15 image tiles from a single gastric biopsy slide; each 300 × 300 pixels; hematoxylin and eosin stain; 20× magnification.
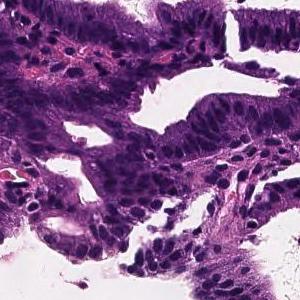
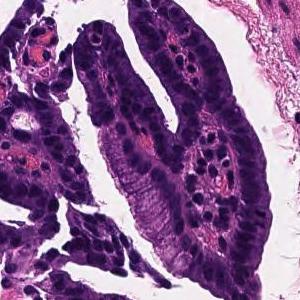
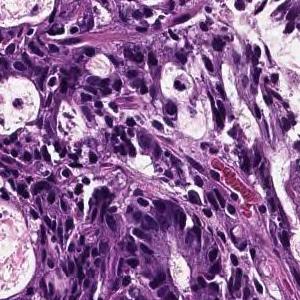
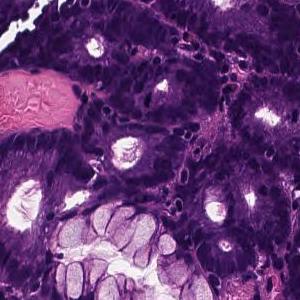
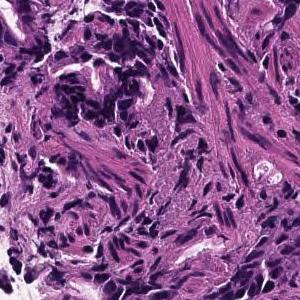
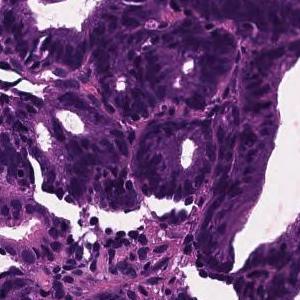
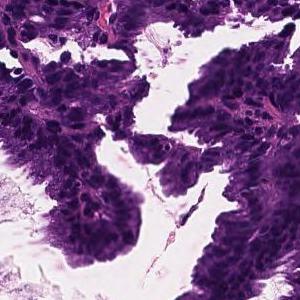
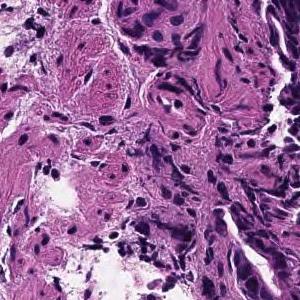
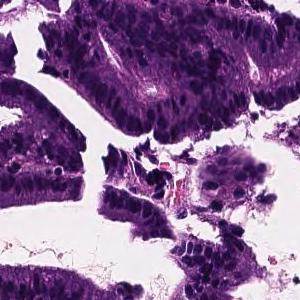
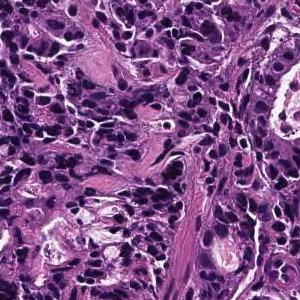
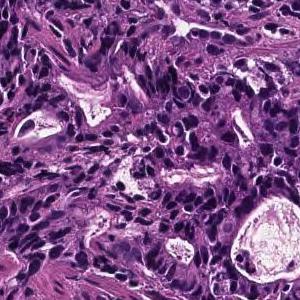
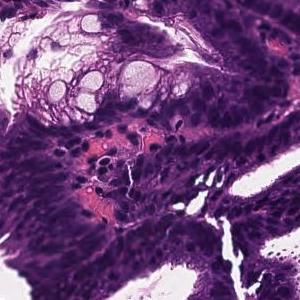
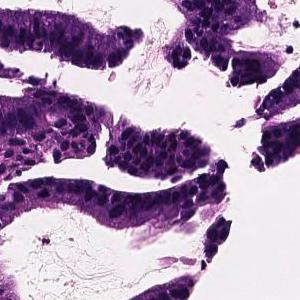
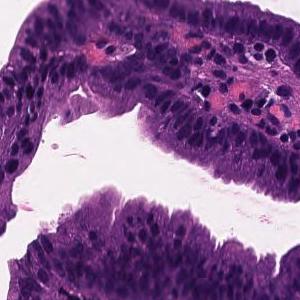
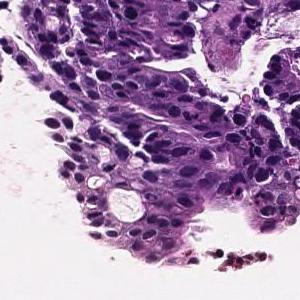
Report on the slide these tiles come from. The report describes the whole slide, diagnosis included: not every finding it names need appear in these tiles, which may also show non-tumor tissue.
In the superficial epithelium, tumor tissue that invades by forming medium-sized to small, irregular ducts is observed. moderately differentiated tubular adenocarcinoma.
